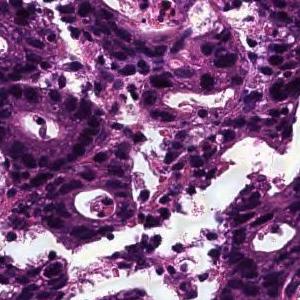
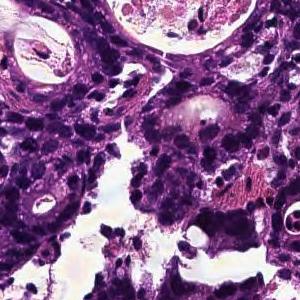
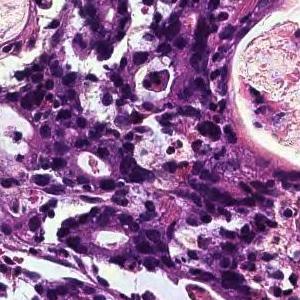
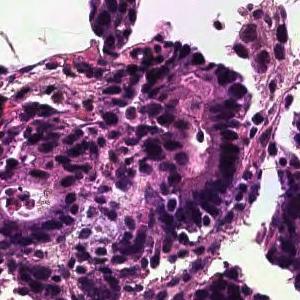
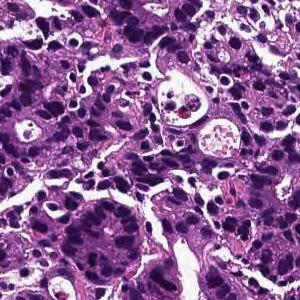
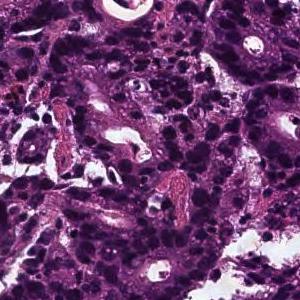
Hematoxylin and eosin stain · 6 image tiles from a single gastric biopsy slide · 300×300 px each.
Pathology report for the slide these tiles were cut from. What the report and the diagnosis say applies to the whole slide; these tiles may miss some of the features named and may include tissue that is not tumor.
In the superficial epithelium, tumor tissue that invades by forming medium-sized to small, irregular ducts is observed. moderately differentiated tubular adenocarcinoma.
